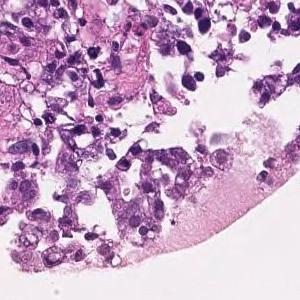
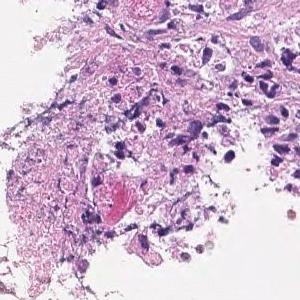
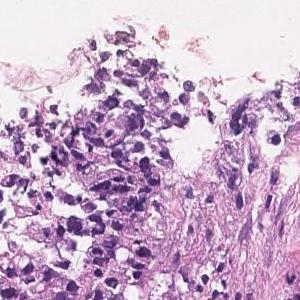
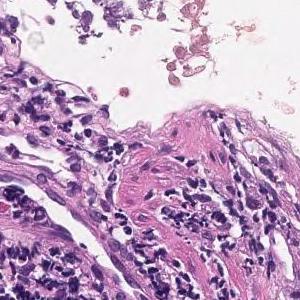
Hematoxylin and eosin stain, scanned at ×20, 4 patches cut from one gastric biopsy slide, 300×300 px each.
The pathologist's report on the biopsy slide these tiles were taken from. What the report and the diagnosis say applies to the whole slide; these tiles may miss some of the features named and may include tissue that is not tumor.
Medium to small, irregular glandular ducts are formed in the superficial epithelium, and in some cases, the glandular ducts are fused to show solid alveolar lesions and infiltrating tumor tissue is observed. Moderately to poorly differentiated adenocarcinoma.
